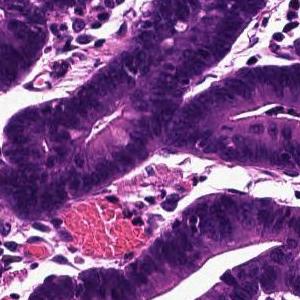
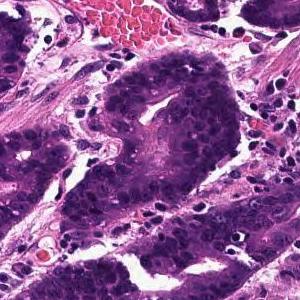
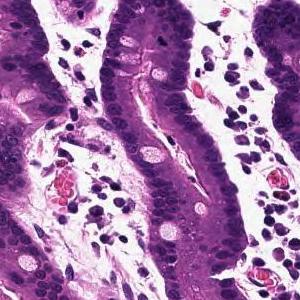
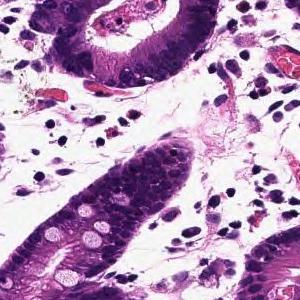
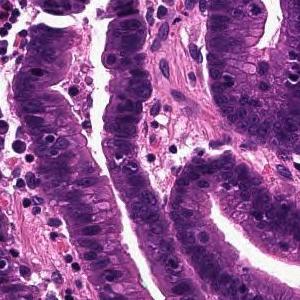
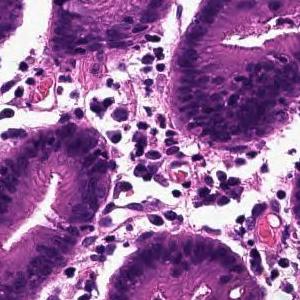
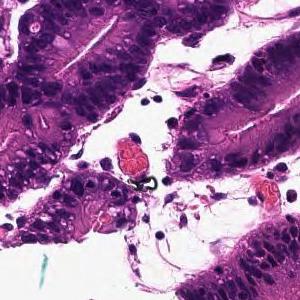
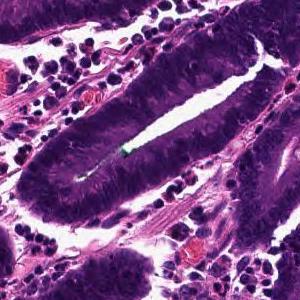
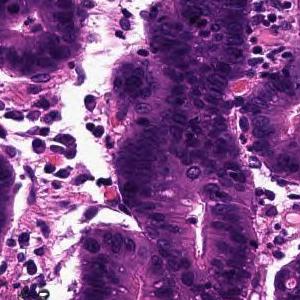
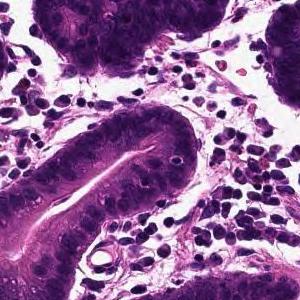
10 image tiles from a single gastric biopsy slide · 300 × 300 pixels each · H&E.
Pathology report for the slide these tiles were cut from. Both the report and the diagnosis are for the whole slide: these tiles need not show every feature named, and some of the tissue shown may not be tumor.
Tumor tissue that infiltrates by forming large papillary or large irregular glandular ducts is observed confined to the mucosa. Papillary adenocarcinoma
